20× magnification; hematoxylin and eosin stain; 8 patches cut from one gastric biopsy slide; 300×300 px each.
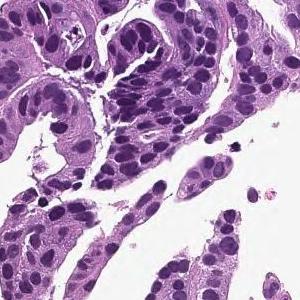
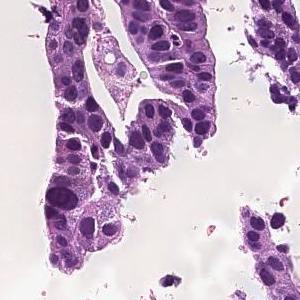
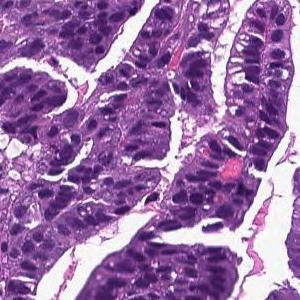
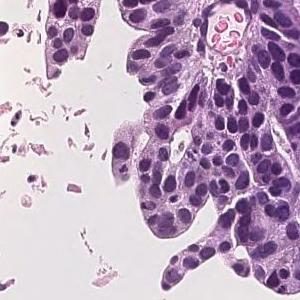
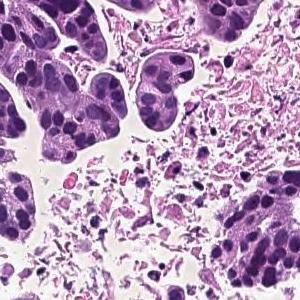
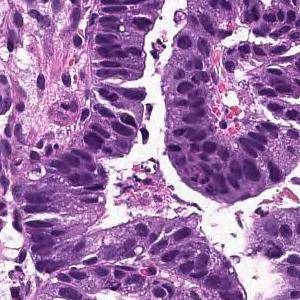
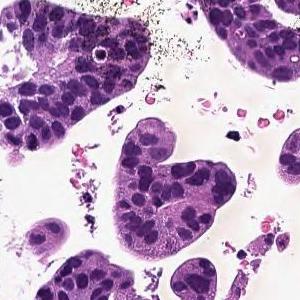
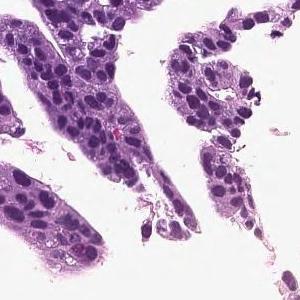
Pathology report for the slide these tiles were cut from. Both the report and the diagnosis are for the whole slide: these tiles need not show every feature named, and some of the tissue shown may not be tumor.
Tumor cells are large, highly columnar, large club-shaped nuclei, and are associated with chromatin aggregation. Papillary adenocarcinoma.
